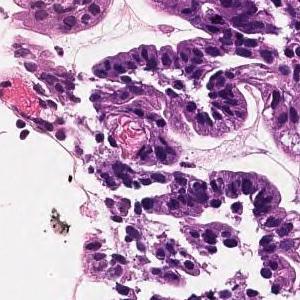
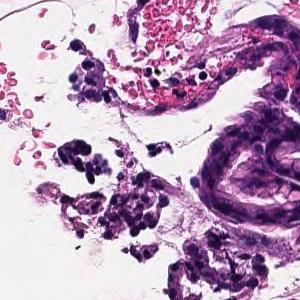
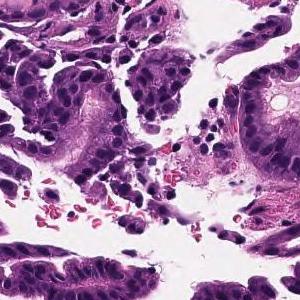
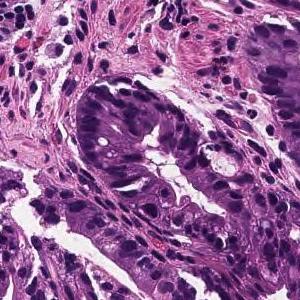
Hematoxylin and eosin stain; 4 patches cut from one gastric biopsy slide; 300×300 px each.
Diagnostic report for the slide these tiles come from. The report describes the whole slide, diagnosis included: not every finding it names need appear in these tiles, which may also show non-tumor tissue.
On the superficial epithelium, tumor tissue that infiltrates by forming medium-sized papillary or small irregular ducts is observed. Papillary adenocarcinoma
